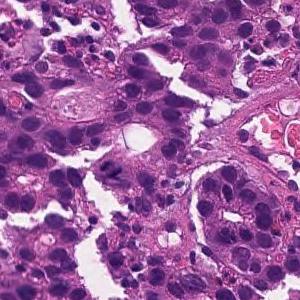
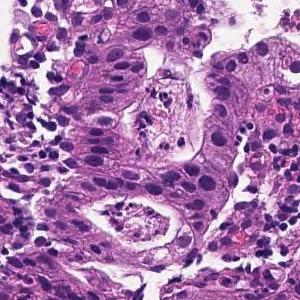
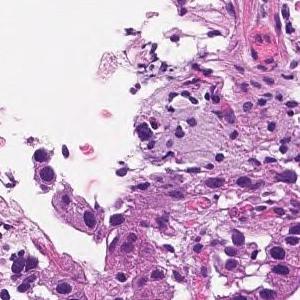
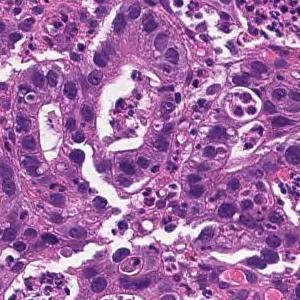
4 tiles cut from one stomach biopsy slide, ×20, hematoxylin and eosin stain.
Report on the slide these tiles come from. The findings and the diagnosis refer to the entire slide; these tiles show only part of it, possibly with non-tumor tissue, and may not show every feature named.
Medium to small, irregular glandular ducts are formed in the superficial epithelium, and in some cases, the glandular ducts are fused to show solid alveolar lesions and infiltrating tumor tissue is observed. Moderately to poorly differentiated adenocarcinoma.
